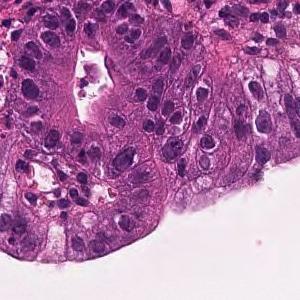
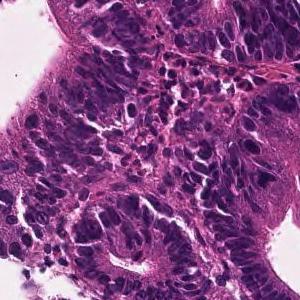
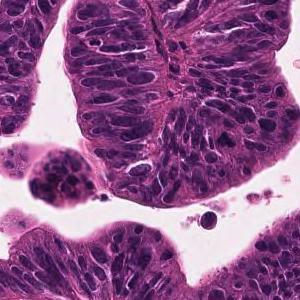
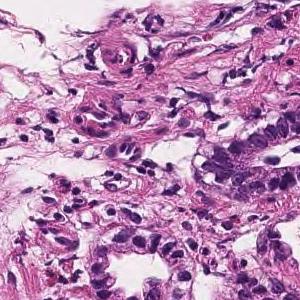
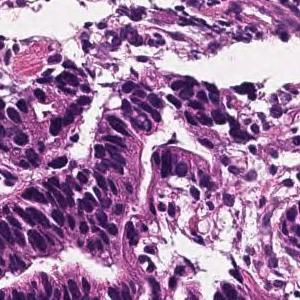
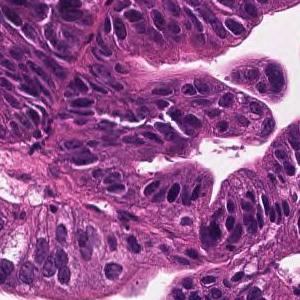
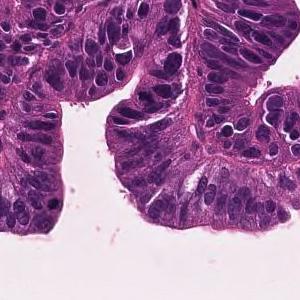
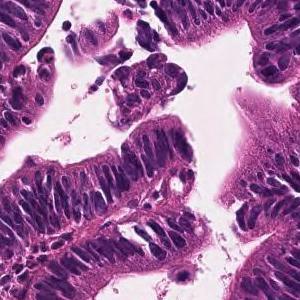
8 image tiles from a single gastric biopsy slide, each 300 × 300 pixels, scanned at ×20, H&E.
Report on the slide these tiles come from. The report describes the whole slide, diagnosis included: not every finding it names need appear in these tiles, which may also show non-tumor tissue.
A large irregular tubular structure is exhibited in the epithelium, and tumor tissue that partially fuses and infiltrates and proliferates is observed. Large columnar tumor cells exhibit enlarged nucleus, hyperchromatism, and mitotic figures. Well differentiated tubular adenocarcinoma
